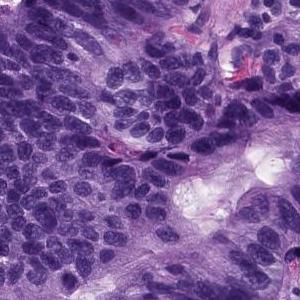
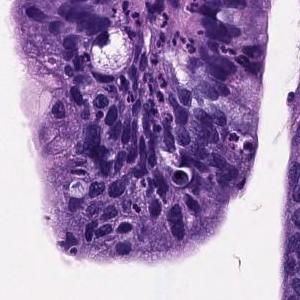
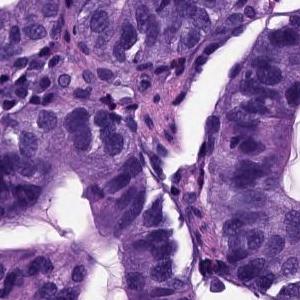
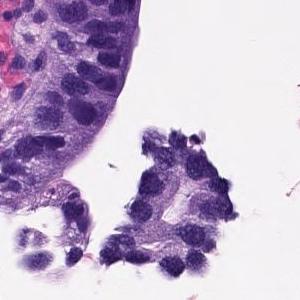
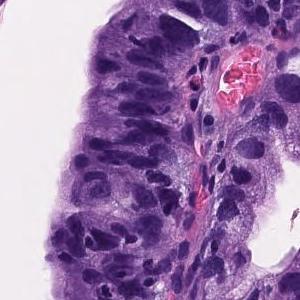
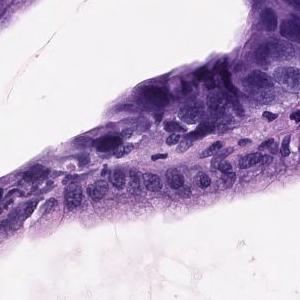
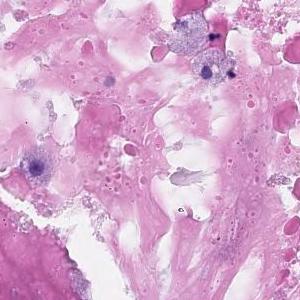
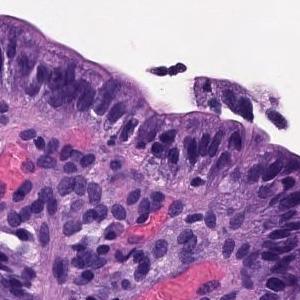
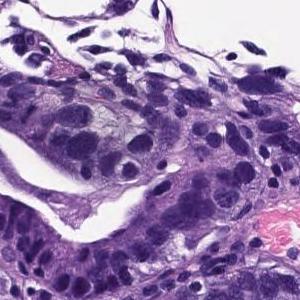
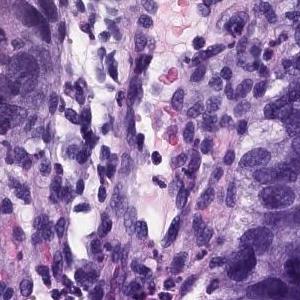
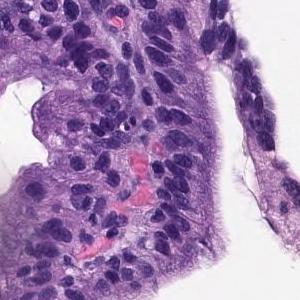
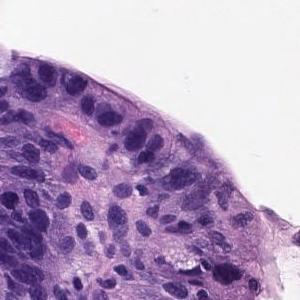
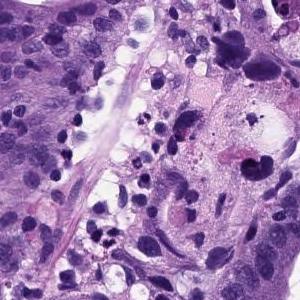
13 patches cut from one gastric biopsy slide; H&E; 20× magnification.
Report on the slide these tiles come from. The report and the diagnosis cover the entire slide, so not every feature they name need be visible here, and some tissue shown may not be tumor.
There are atypical l cells with atypical nuclei forming irregular glandular ducts and growing in a complex manner. Well differentiated tubular adenocarcinoma
